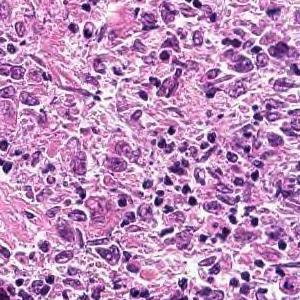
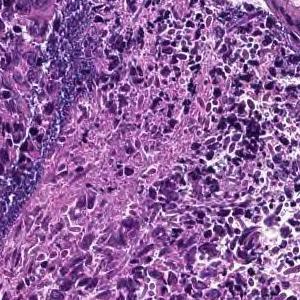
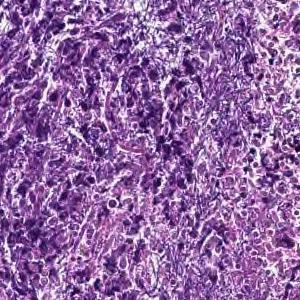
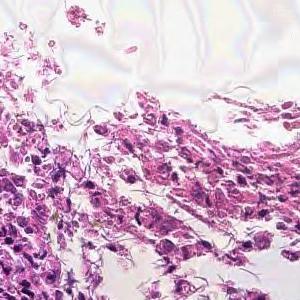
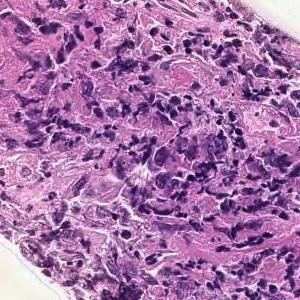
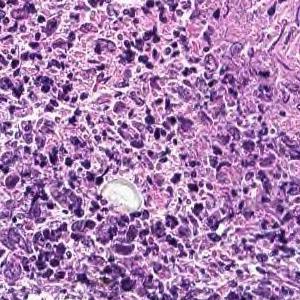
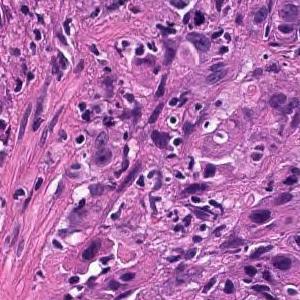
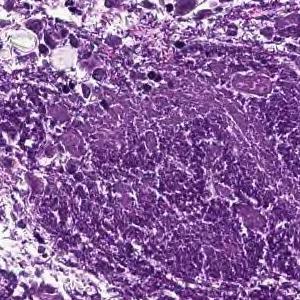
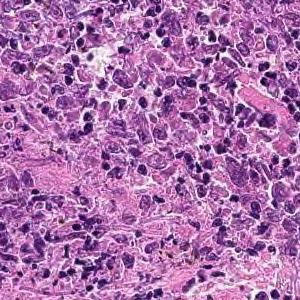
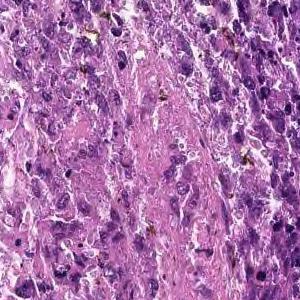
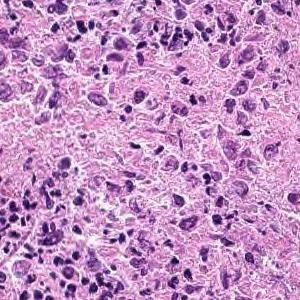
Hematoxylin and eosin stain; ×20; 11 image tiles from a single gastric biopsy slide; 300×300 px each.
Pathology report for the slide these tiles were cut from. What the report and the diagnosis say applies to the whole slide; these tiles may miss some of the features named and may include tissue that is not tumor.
Cancers with polygonal nuclei do not show glandular formation and are densely, in part, cord-like and proliferate. Poorly differentiated adenocarcinoma
Subtype: Poorly differentiated adenocarcinoma, non-solid type.
"Non-solid type" is a category of the Japanese Classification of Gastric Carcinoma.
